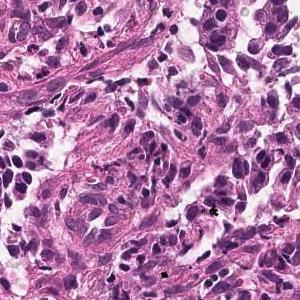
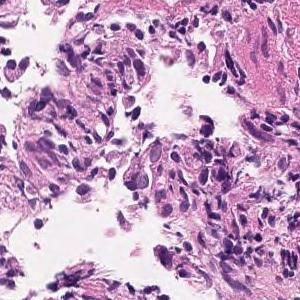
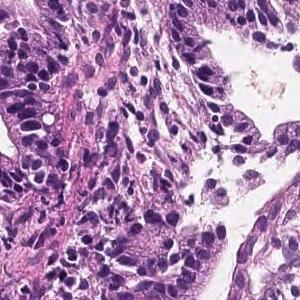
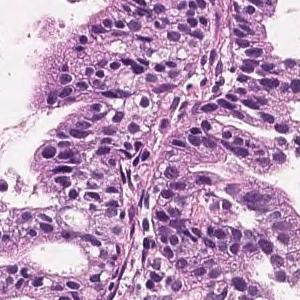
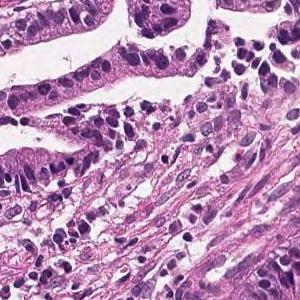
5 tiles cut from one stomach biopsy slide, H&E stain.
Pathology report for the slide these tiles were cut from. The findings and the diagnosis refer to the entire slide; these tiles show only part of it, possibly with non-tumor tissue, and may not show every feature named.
Tumor cells are large, highly columnar, large club-shaped nuclei, and are associated with chromatin aggregation. Papillary adenocarcinoma.
